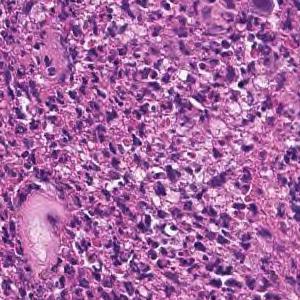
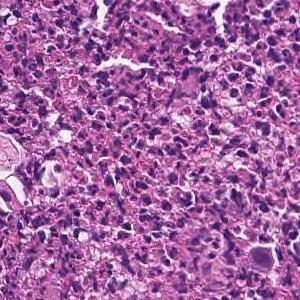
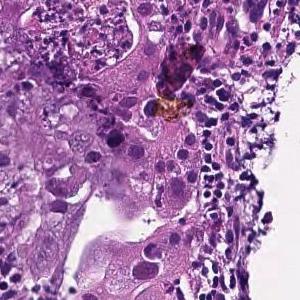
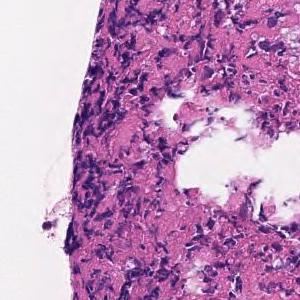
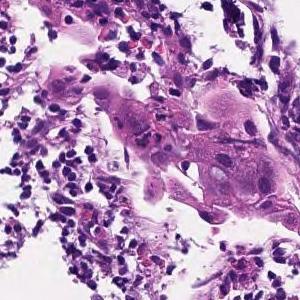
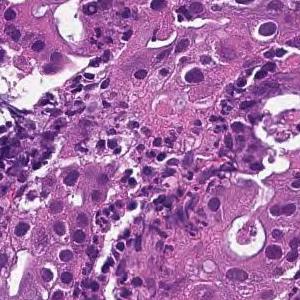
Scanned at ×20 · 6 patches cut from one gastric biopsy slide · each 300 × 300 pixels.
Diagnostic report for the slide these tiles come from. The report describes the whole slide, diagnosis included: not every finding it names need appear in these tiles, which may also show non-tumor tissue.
In the superficial epithelium, tumor tissue infiltrated by partial fusion of medium-sized to small, irregular glandular ducts is observed. moderately differentiated tubular adenocarcinoma
